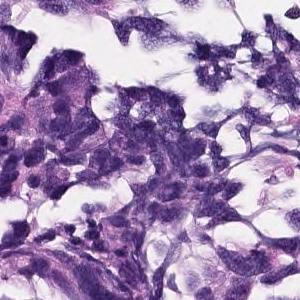
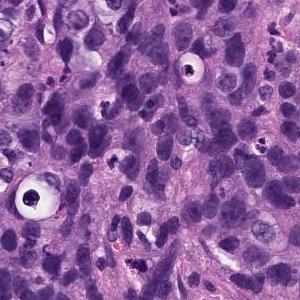
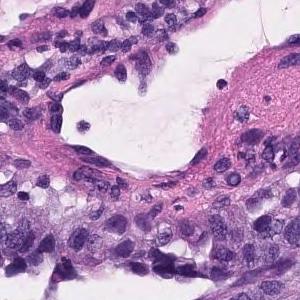
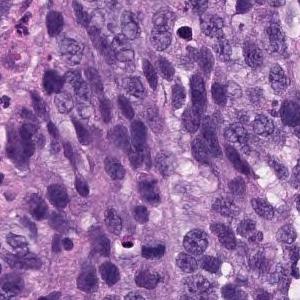
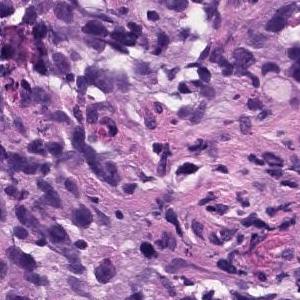
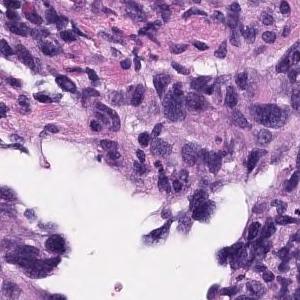
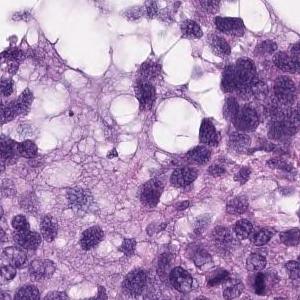
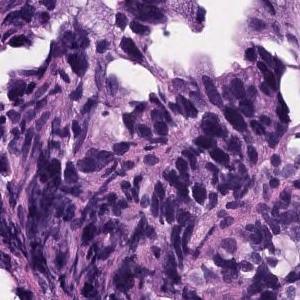
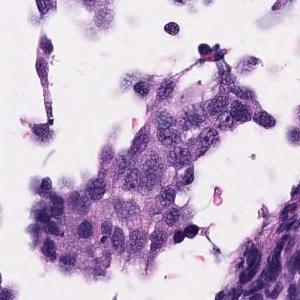
9 patches cut from one gastric biopsy slide, each 300 × 300 pixels, scanned at ×20, H&E.
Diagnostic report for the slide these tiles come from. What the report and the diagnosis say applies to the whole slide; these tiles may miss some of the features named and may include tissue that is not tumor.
Atypical l cells with atypical nuclei under the mucosa growing in isolation and scattered. Poorly differentiated adenocarcinoma (poorly differentiated adenocarcinoma, non-solid type)
Subtype: Poorly differentiated adenocarcinoma, non-solid type.
The term "non-solid type" comes from the Japanese Classification of Gastric Carcinoma.
